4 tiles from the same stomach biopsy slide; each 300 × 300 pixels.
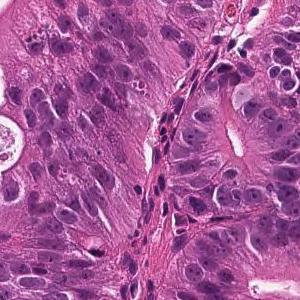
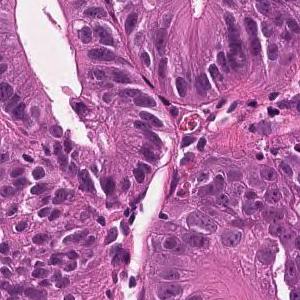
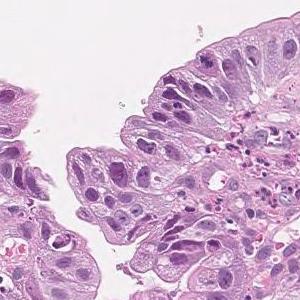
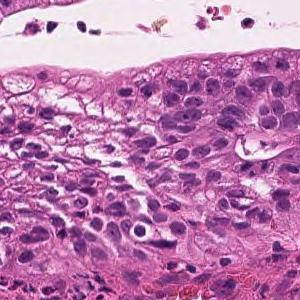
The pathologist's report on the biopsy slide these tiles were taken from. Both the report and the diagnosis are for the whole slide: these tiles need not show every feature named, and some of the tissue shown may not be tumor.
Tumor cells are large, highly columnar, large club-shaped nuclei, and are associated with chromatin aggregation. Papillary adenocarcinoma.
